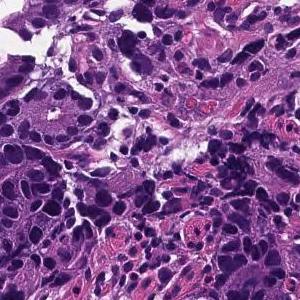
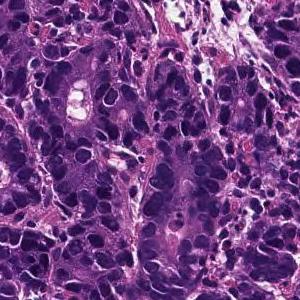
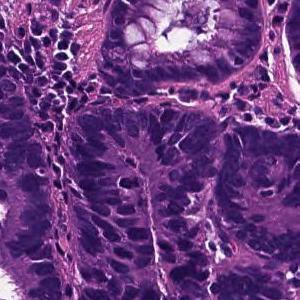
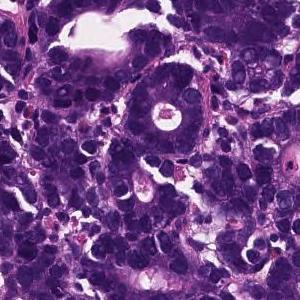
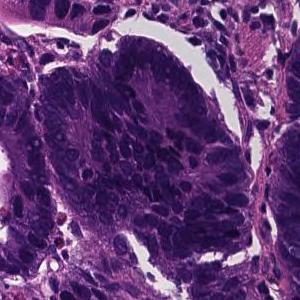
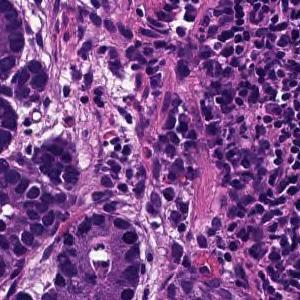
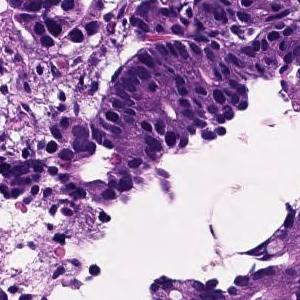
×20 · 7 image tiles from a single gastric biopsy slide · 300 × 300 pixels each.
Pathology report for the biopsy slide these tiles were cut from. The findings and the diagnosis refer to the entire slide; these tiles show only part of it, possibly with non-tumor tissue, and may not show every feature named.
From the superficial epithelium to the muscularis mucosae, tumor tissue consisting of medium-sized and irregular glandular ducts infiltrating is observed. Well differentiated tubular adenocarcinoma
